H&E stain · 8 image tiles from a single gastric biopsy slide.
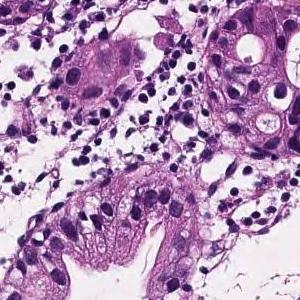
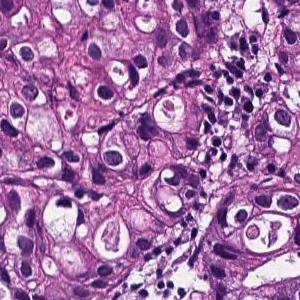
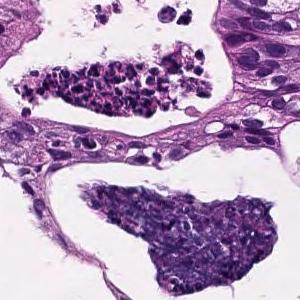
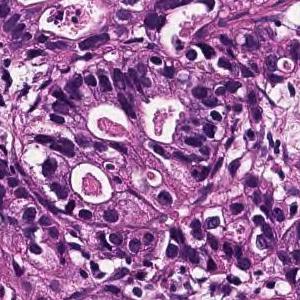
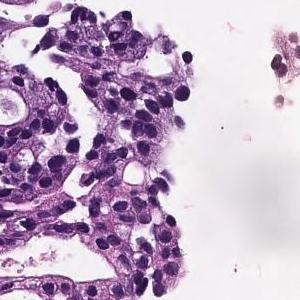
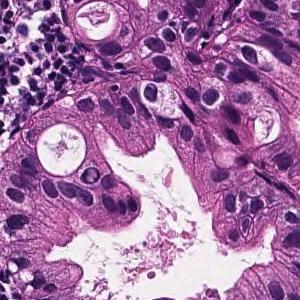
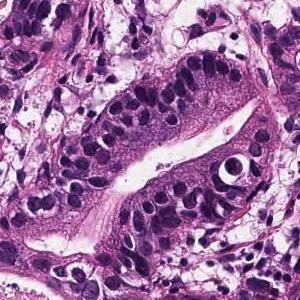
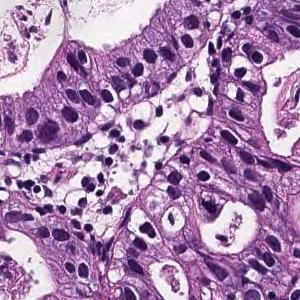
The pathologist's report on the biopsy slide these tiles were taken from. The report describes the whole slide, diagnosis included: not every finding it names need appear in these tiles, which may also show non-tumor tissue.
From the superficial epithelium to the muscularis mucosae, tumor tissue infiltrating by forming medium-sized irregular gland ducts is observed. Large tumor cells exhibit large nucleus and hyperchromatism. Well differentiated tubular adenocarcinoma
